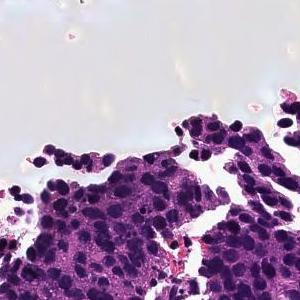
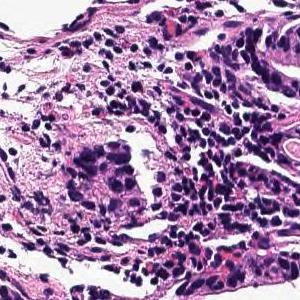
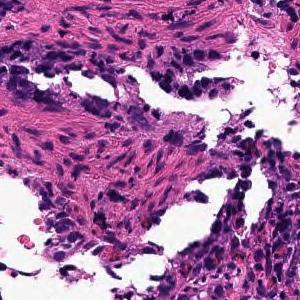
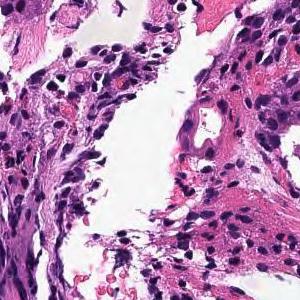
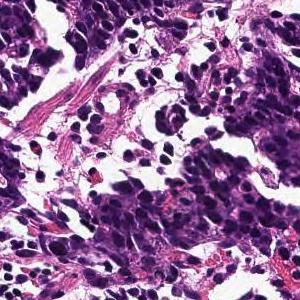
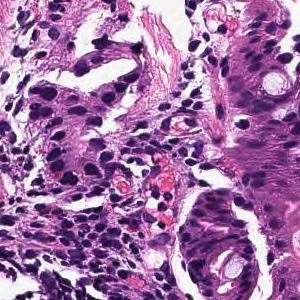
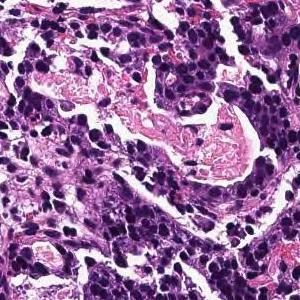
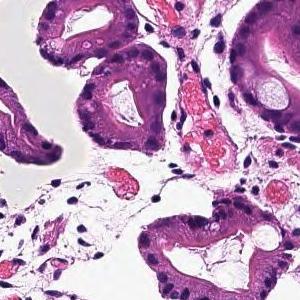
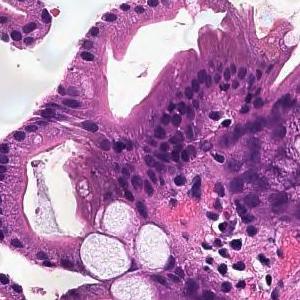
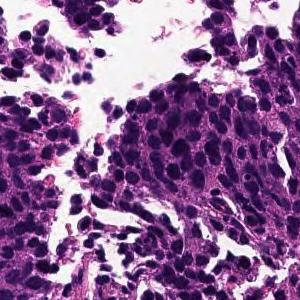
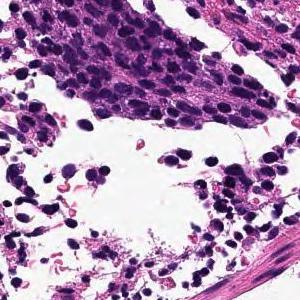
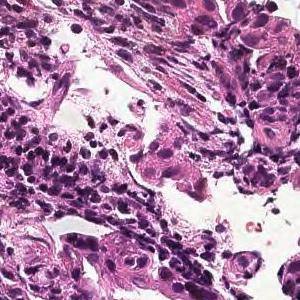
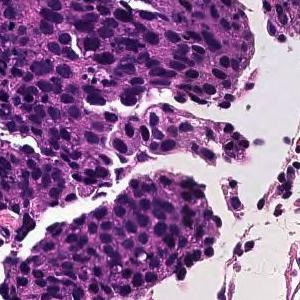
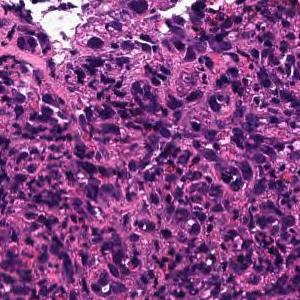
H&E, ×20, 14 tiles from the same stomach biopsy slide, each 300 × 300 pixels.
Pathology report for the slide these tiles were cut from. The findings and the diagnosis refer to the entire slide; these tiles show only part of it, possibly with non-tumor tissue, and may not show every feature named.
In the superficial epithelium, tumor tissue that invades by forming medium-sized to small, irregular ducts is observed. moderately differentiated tubular adenocarcinoma.
